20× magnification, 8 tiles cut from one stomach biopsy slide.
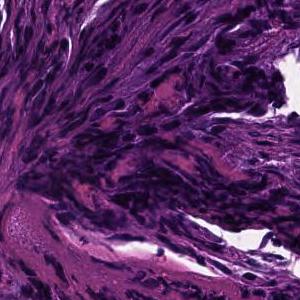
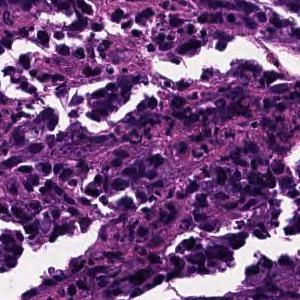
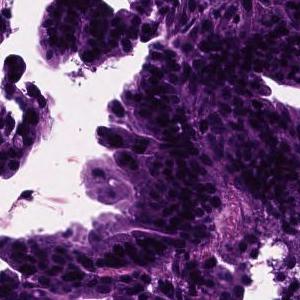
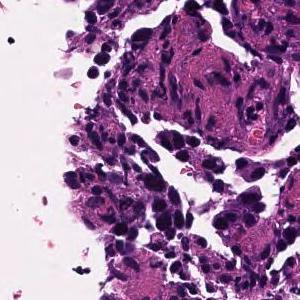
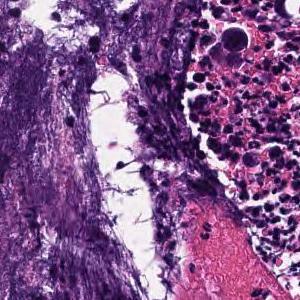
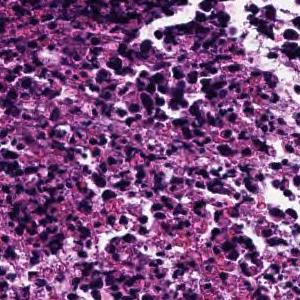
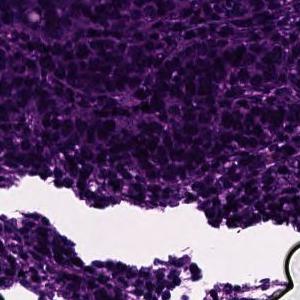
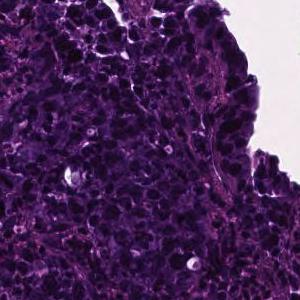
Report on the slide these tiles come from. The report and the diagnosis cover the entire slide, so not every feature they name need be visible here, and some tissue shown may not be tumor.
In the superficial epithelium, tumor tissue that invades by forming medium-sized to small, irregular ducts is observed. moderately differentiated tubular adenocarcinoma.
